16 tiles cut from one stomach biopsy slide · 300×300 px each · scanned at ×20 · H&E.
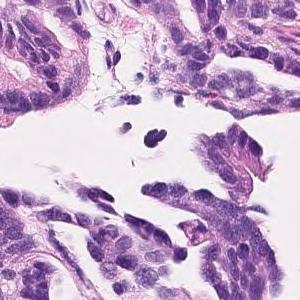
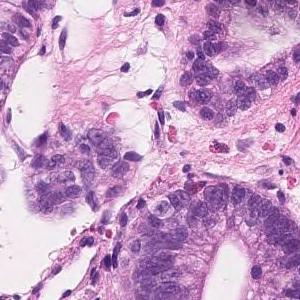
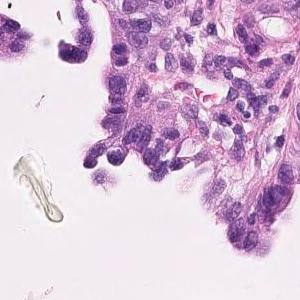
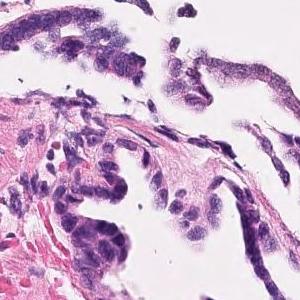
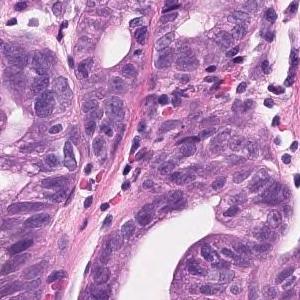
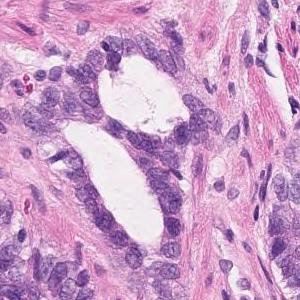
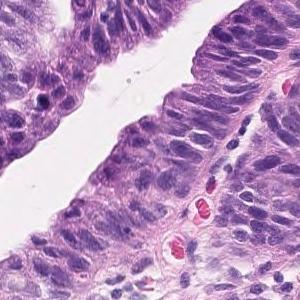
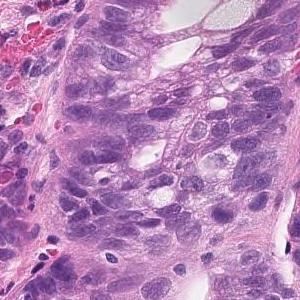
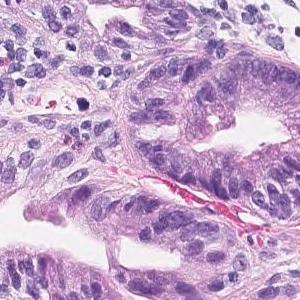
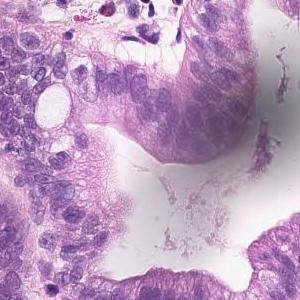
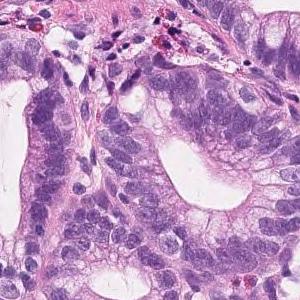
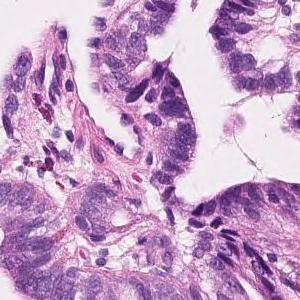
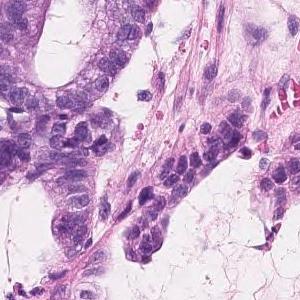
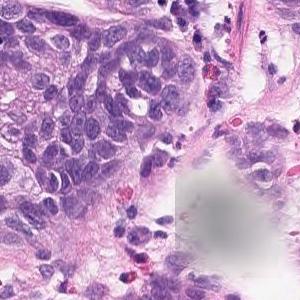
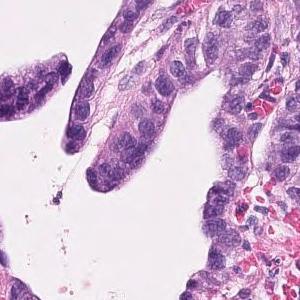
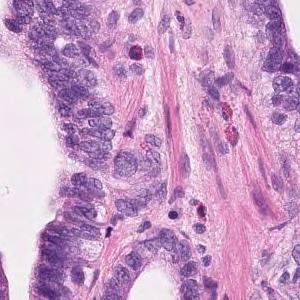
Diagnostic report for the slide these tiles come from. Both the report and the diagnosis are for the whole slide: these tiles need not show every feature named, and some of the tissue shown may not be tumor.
Tumor cells are large, highly columnar, large club-shaped nuclei, and are associated with chromatin aggregation. Papillary adenocarcinoma.
